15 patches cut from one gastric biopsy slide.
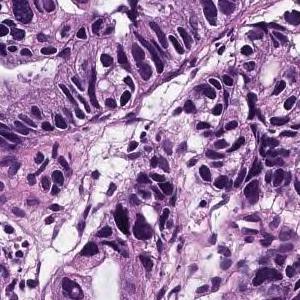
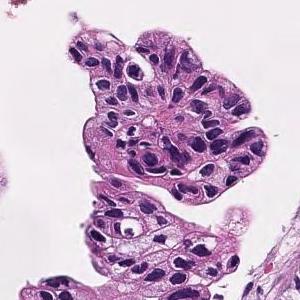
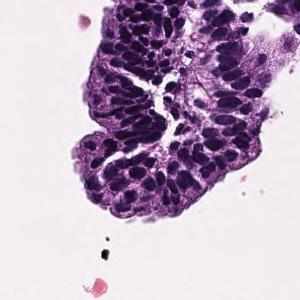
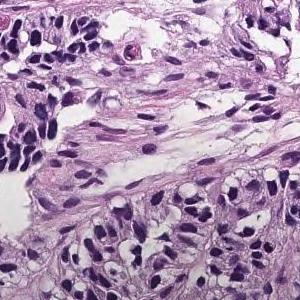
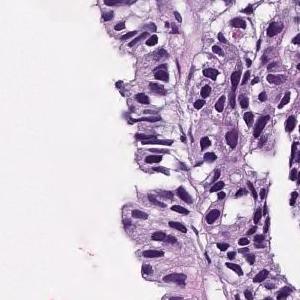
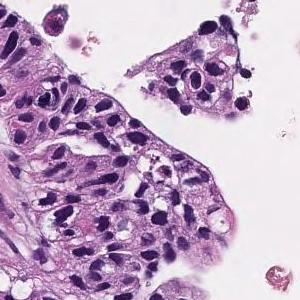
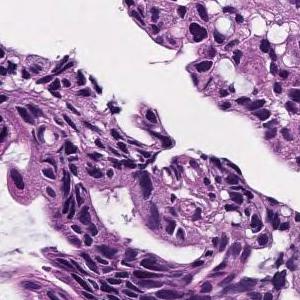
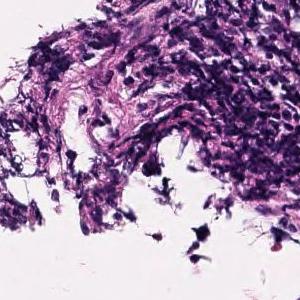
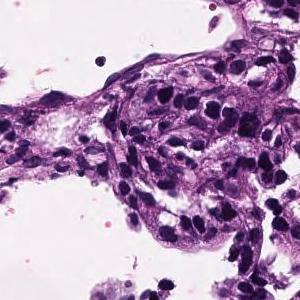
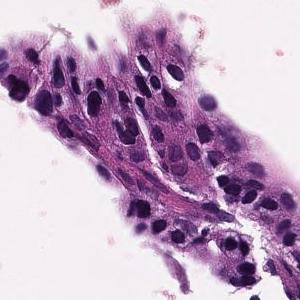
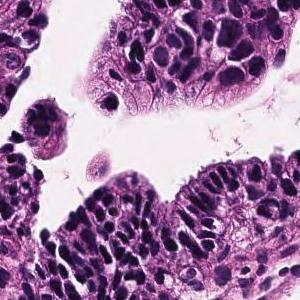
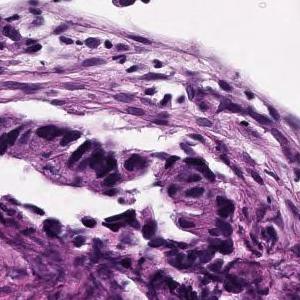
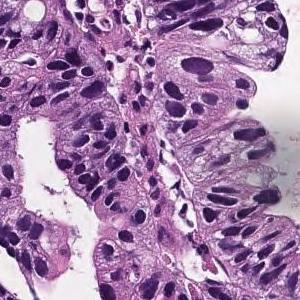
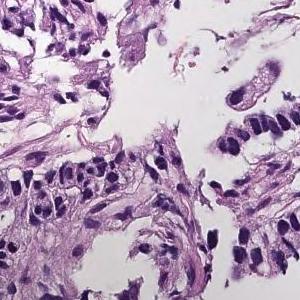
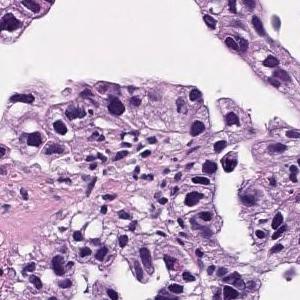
Pathology report for the slide these tiles were cut from. What the report and the diagnosis say applies to the whole slide; these tiles may miss some of the features named and may include tissue that is not tumor.
Tumor cells are large, highly columnar, large club-shaped nuclei, and are associated with chromatin aggregation. Papillary adenocarcinoma.
